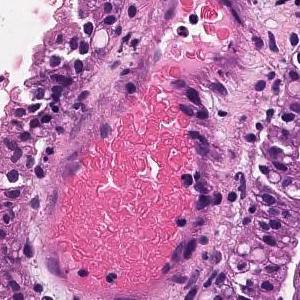
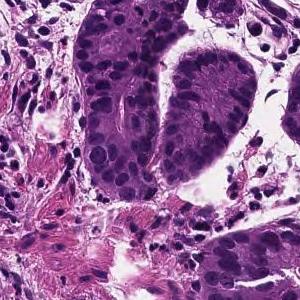
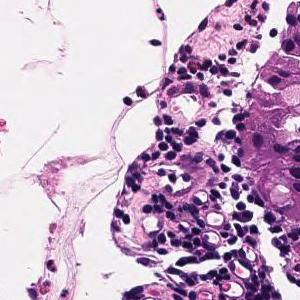
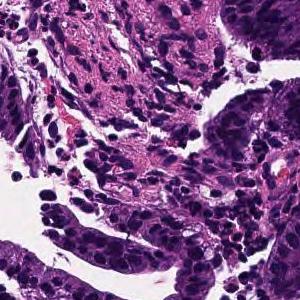
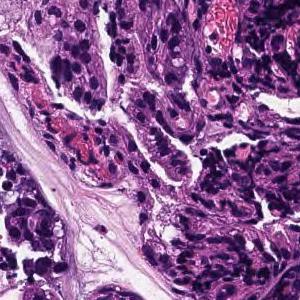
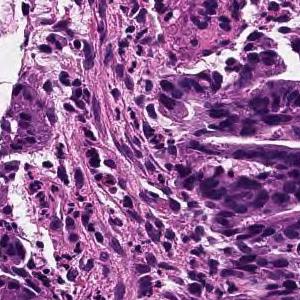
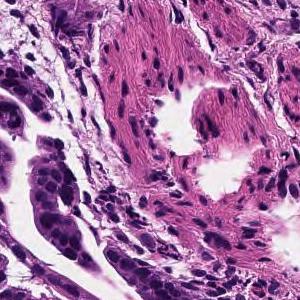
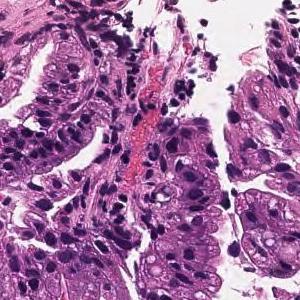
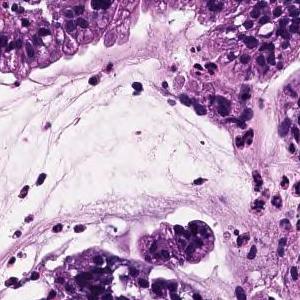
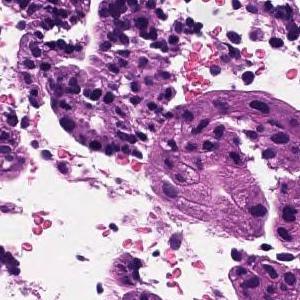
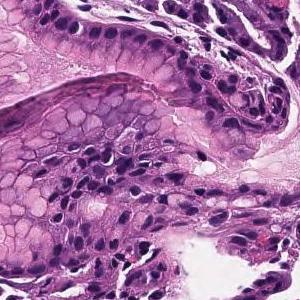
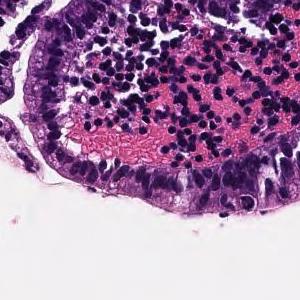
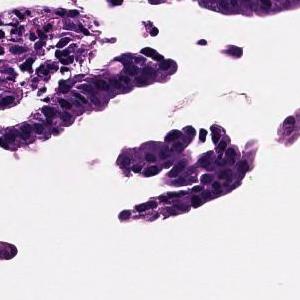
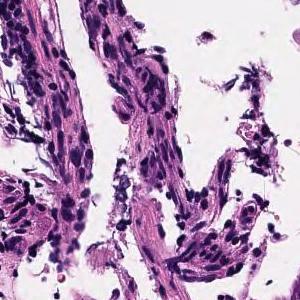
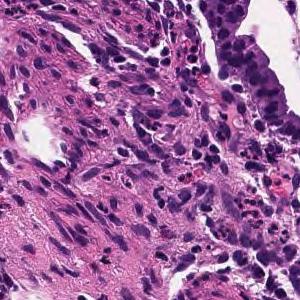
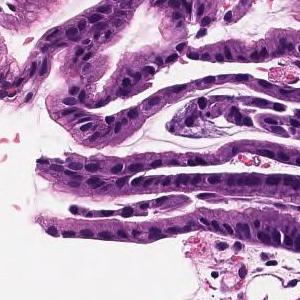
H&E stain · scanned at ×20 · 16 tiles from the same stomach biopsy slide · each 300 × 300 pixels.
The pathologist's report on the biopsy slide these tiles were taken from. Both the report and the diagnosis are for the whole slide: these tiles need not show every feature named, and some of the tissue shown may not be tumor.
On the superficial epithelium, tumor tissue that infiltrates by forming medium-sized papillary or small irregular ducts is observed. Papillary adenocarcinoma
